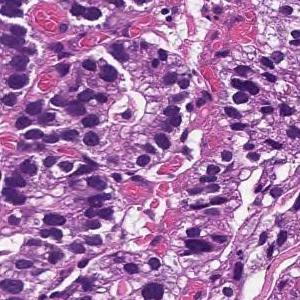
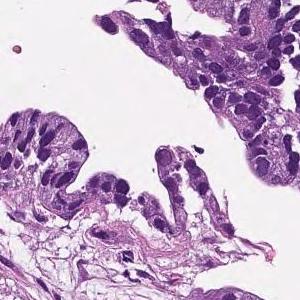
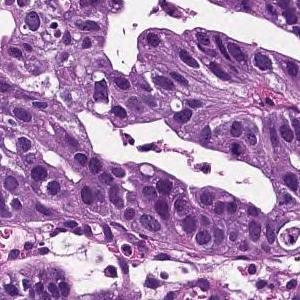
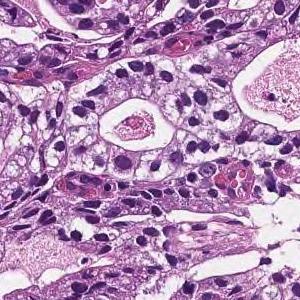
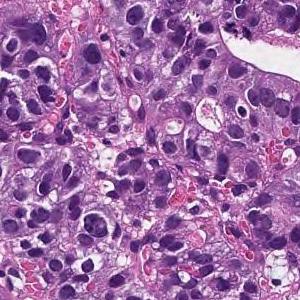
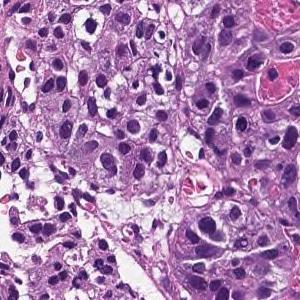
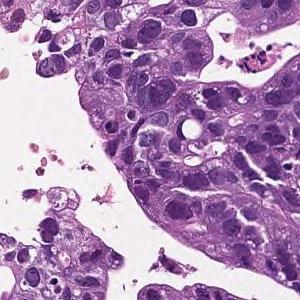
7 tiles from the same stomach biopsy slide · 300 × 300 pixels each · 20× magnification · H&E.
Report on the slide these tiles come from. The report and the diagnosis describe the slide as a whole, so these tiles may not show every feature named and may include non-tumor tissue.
On the superficial epithelium, tumor tissue consisting of large, irregular glandular ducts partially fused and infiltrated is observed. Well to moderately differentiated tubular adenocarcinoma (well differentiated tubular adenocarcinoma, moderately differentiated tubular adenocarcinoma)
Subtype: Well to moderately differentiated tubular adenocarcinoma.
